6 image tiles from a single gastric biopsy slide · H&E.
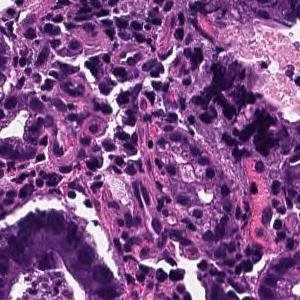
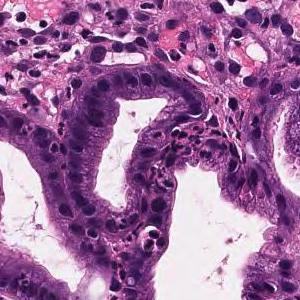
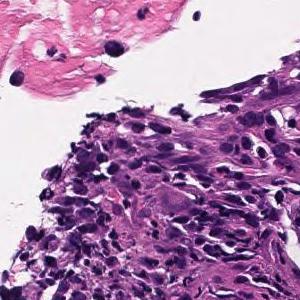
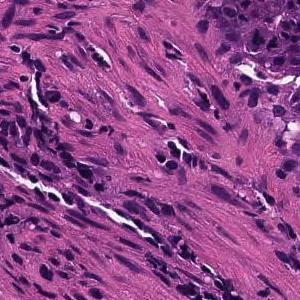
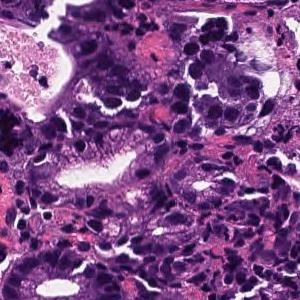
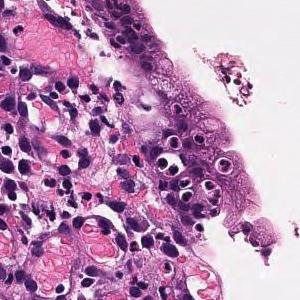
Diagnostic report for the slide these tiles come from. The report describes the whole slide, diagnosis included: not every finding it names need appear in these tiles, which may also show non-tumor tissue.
From the superficial epithelium to the muscularis mucosae, tumor tissue consisting of medium-sized and irregular glandular ducts infiltrating is observed. Well differentiated tubular adenocarcinoma
